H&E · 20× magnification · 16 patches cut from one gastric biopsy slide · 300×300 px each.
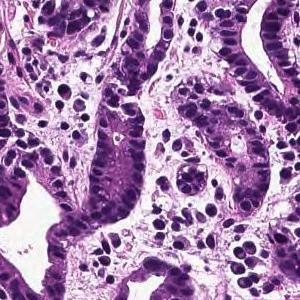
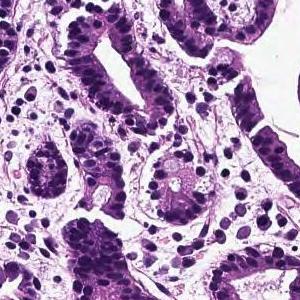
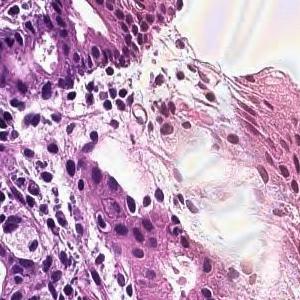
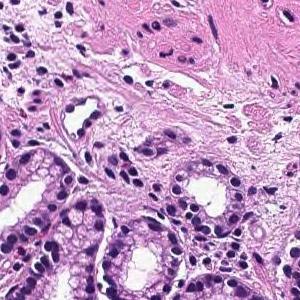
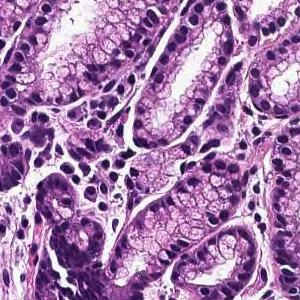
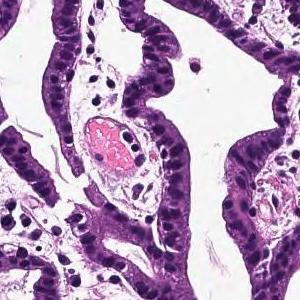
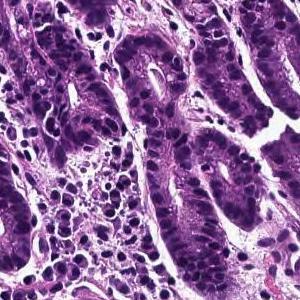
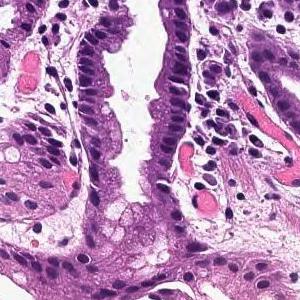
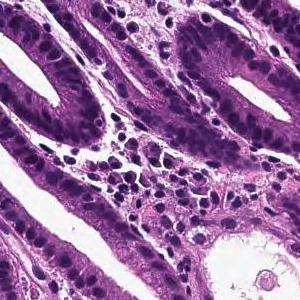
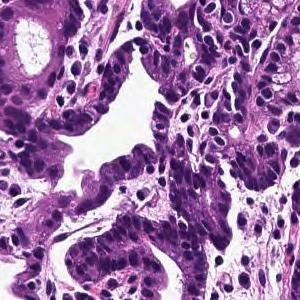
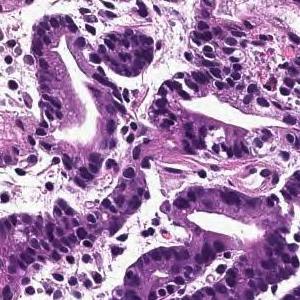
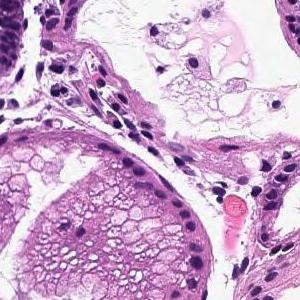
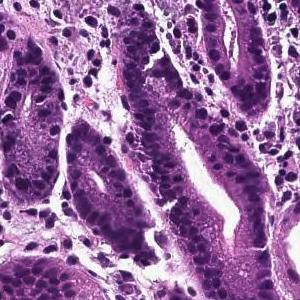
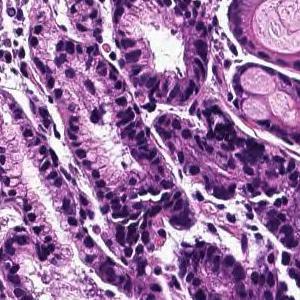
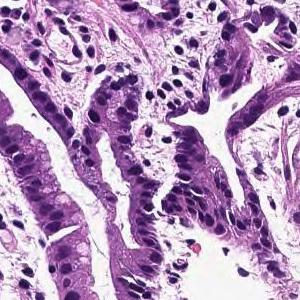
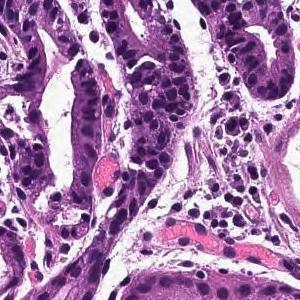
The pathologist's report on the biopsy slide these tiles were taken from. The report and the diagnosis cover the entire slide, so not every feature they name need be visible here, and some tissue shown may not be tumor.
In the superficial epithelium, tumor tissue that invades by forming medium-sized to small, irregular ducts is observed. moderately differentiated tubular adenocarcinoma.
